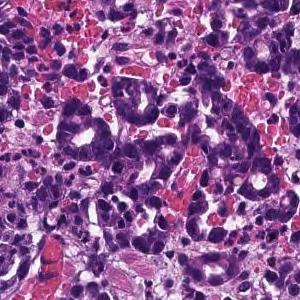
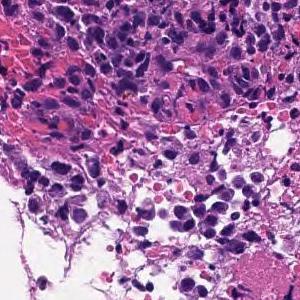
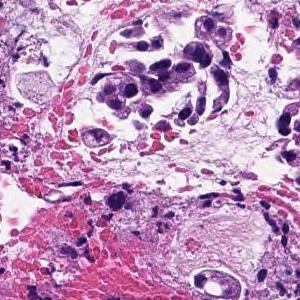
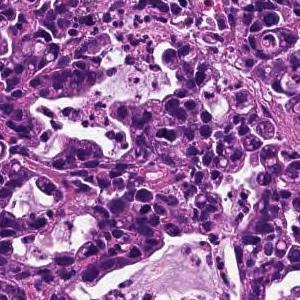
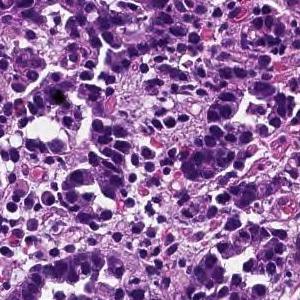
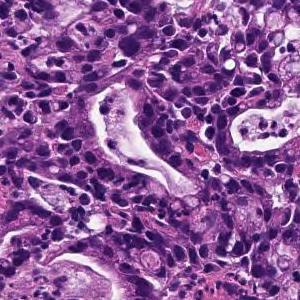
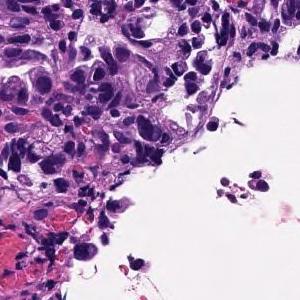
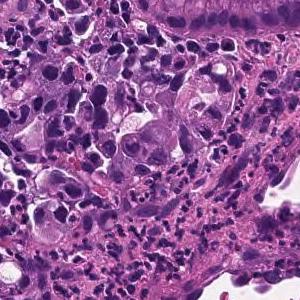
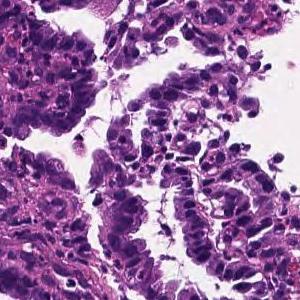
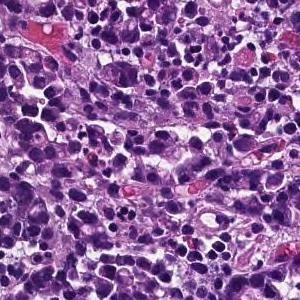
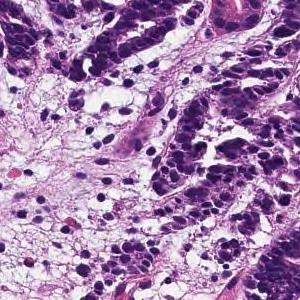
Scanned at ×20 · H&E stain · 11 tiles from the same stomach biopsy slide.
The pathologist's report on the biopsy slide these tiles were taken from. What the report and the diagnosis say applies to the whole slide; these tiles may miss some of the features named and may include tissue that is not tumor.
In the superficial epithelium, tumor tissue that invades by forming medium-sized to small, irregular ducts is observed. moderately differentiated tubular adenocarcinoma.
